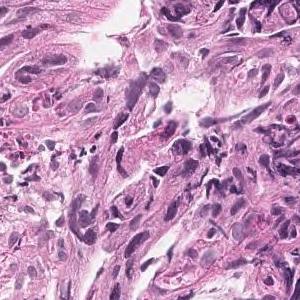
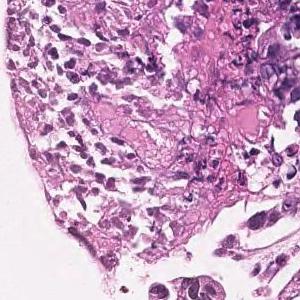
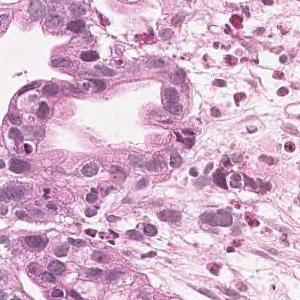
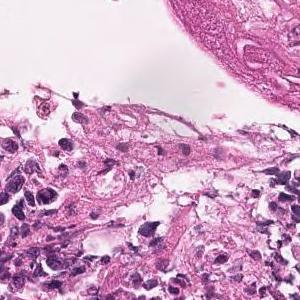
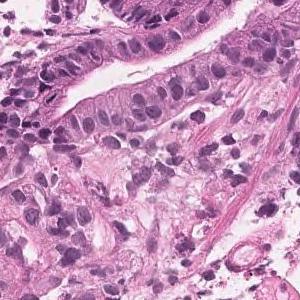
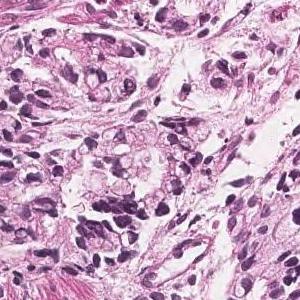
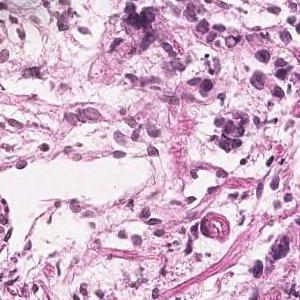
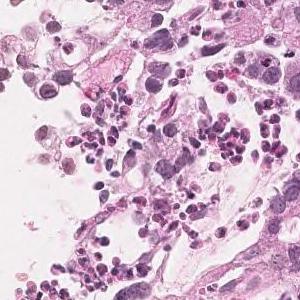
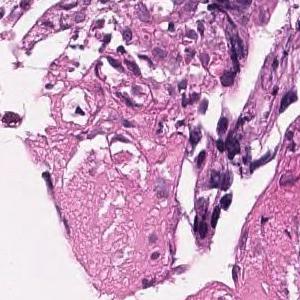
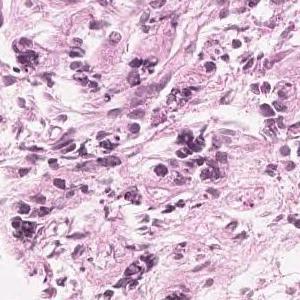
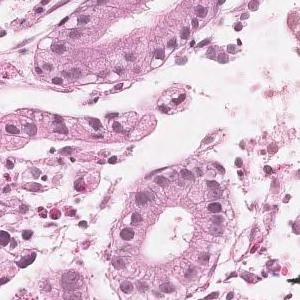
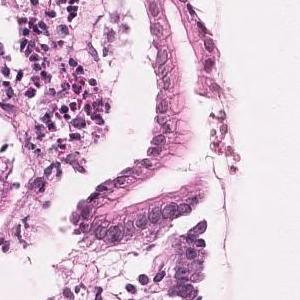
×20; 12 tiles from the same stomach biopsy slide; 300 × 300 pixels each.
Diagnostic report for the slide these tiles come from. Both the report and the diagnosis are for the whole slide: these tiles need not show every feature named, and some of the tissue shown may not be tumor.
In the superficial epithelium, medium to small irregular gland ducts are formed, and in some cases, the ducts are fused to show solid alveolar lesions and infiltrating tumor tissue is observed. Moderately to poorly differentiated adenocarcinoma
